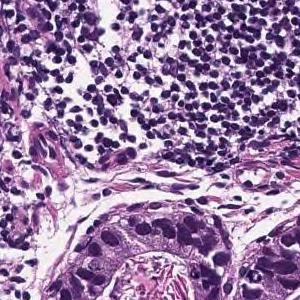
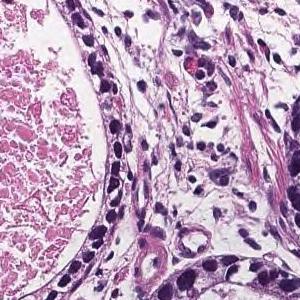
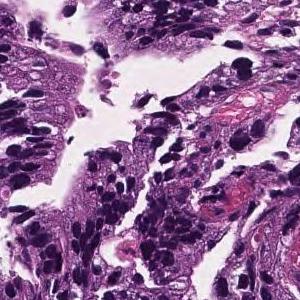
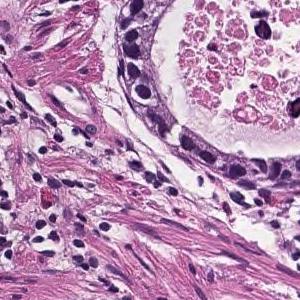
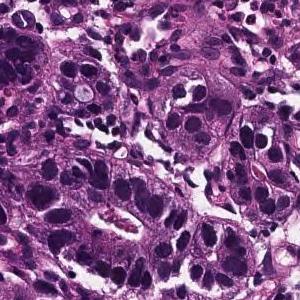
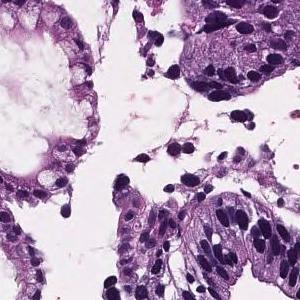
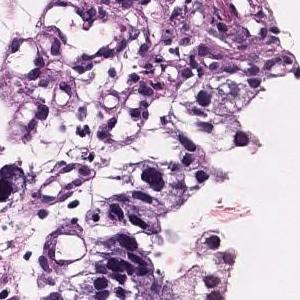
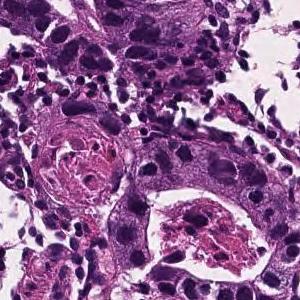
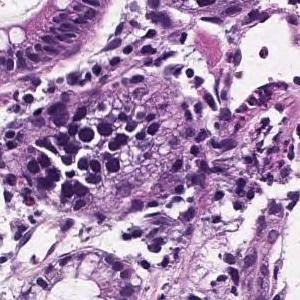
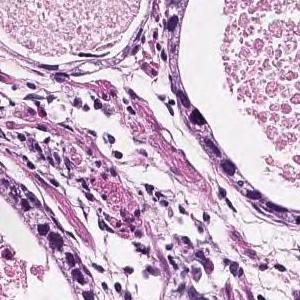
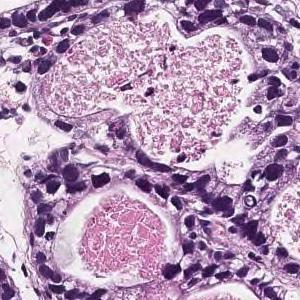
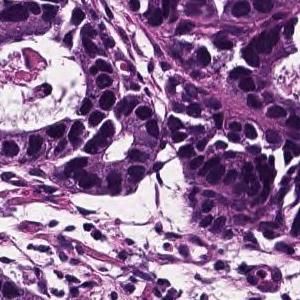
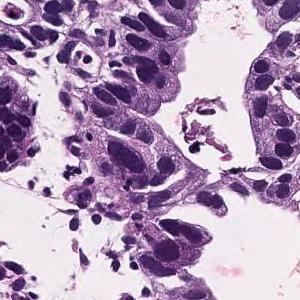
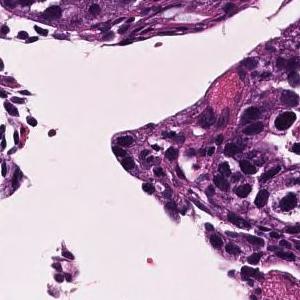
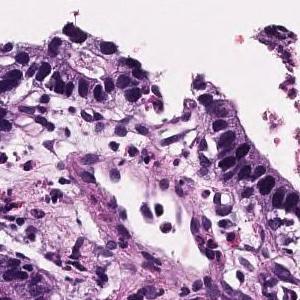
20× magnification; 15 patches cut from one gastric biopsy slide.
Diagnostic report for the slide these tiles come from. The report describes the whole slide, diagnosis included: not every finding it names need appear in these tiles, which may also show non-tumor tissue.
In the superficial epithelium, tumor tissue that invades by forming medium-sized to small, irregular ducts is observed. Well differentiated tubular adenocarcinoma.
